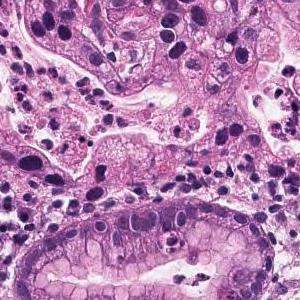
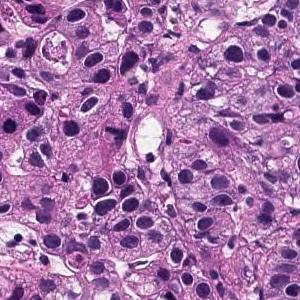
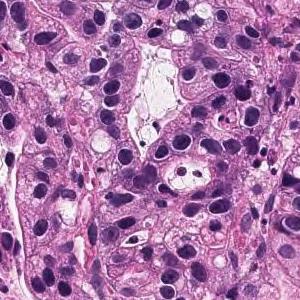
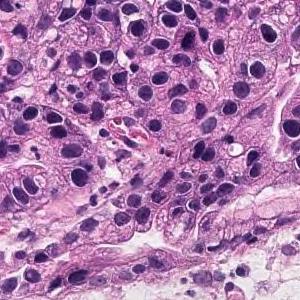
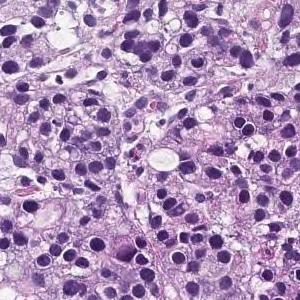
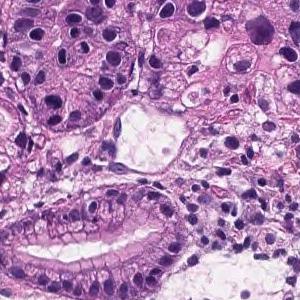
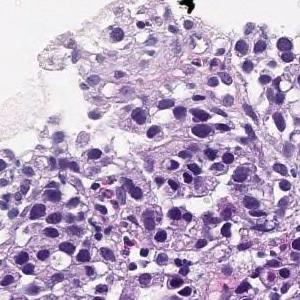
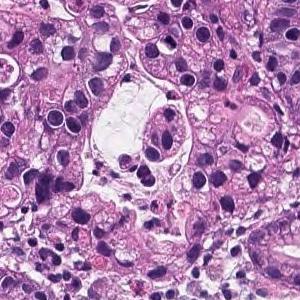
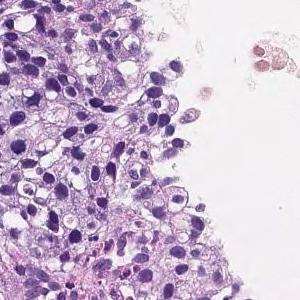
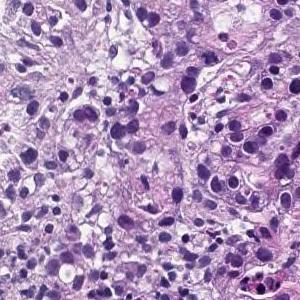
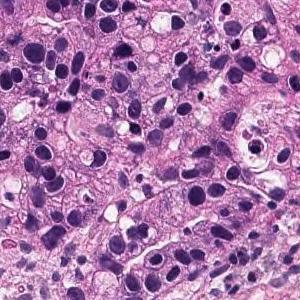
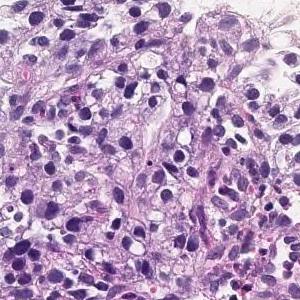
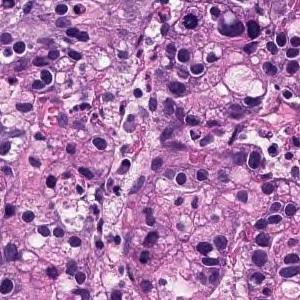
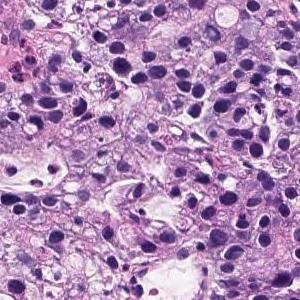
14 tiles from the same stomach biopsy slide; H&E; ×20.
Pathology report for the biopsy slide these tiles were cut from. The findings and the diagnosis refer to the entire slide; these tiles show only part of it, possibly with non-tumor tissue, and may not show every feature named.
In the superficial epithelium, tumor tissue that invades by forming medium-sized to small, irregular ducts is observed. moderately differentiated tubular adenocarcinoma.
